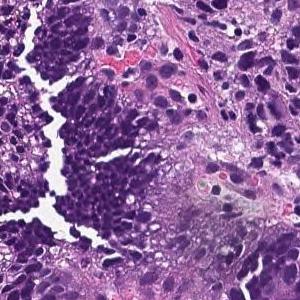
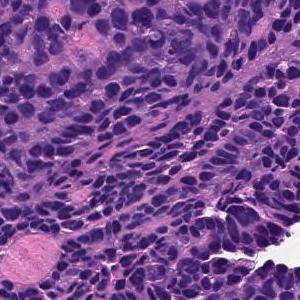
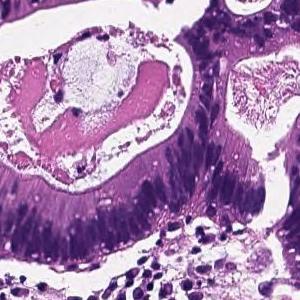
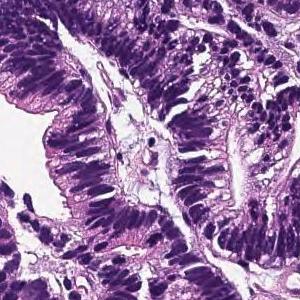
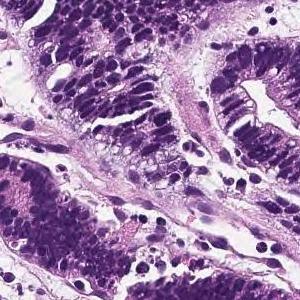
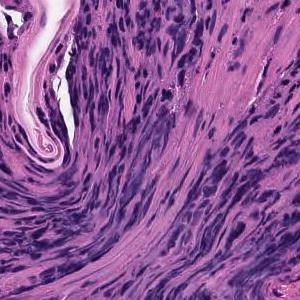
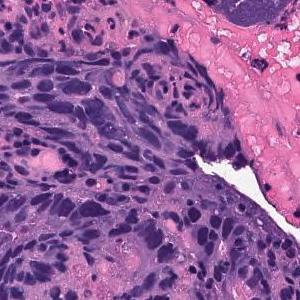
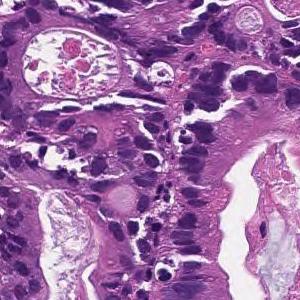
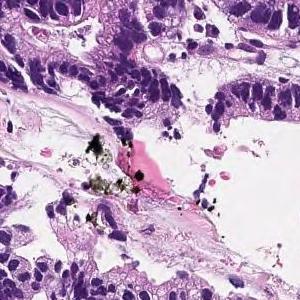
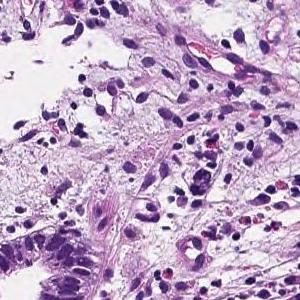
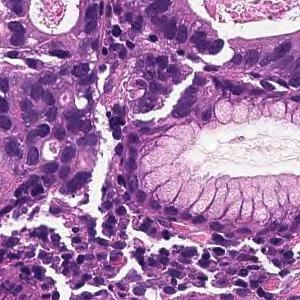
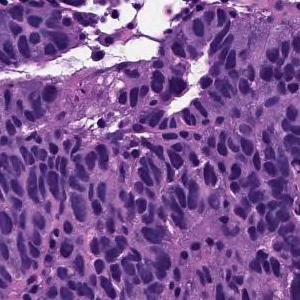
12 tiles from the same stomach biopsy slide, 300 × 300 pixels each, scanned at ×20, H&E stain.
Pathology report for the biopsy slide these tiles were cut from. The findings and the diagnosis refer to the entire slide; these tiles show only part of it, possibly with non-tumor tissue, and may not show every feature named.
In the superficial epithelium, tumor tissue that invades by forming medium-sized to small, irregular ducts is observed. moderately differentiated tubular adenocarcinoma.
